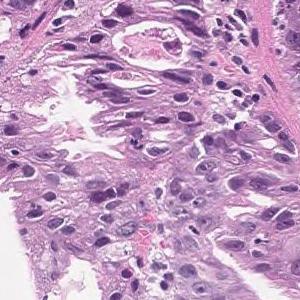
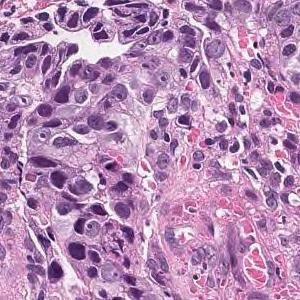
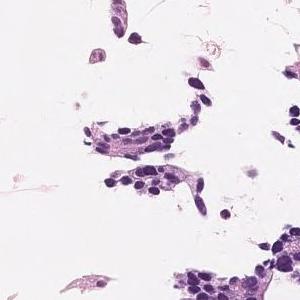
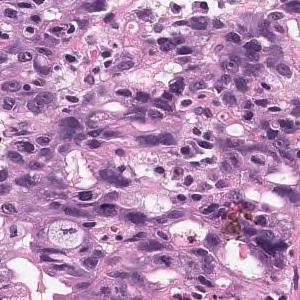
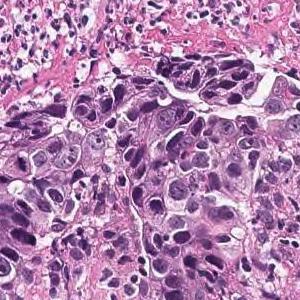
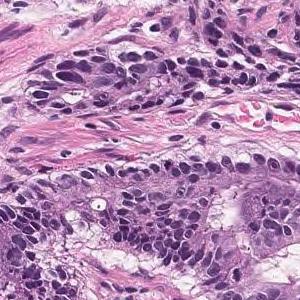
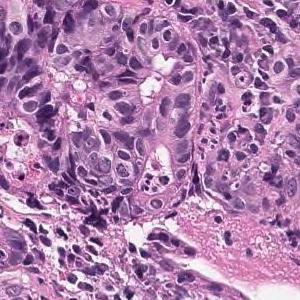
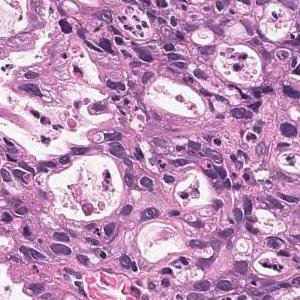
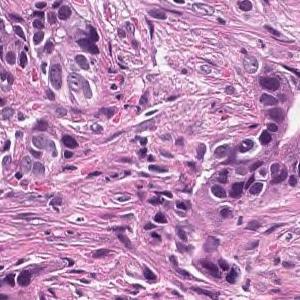
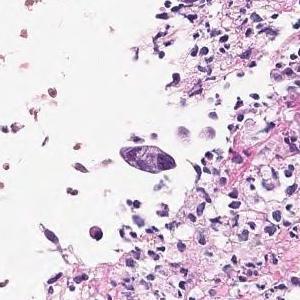
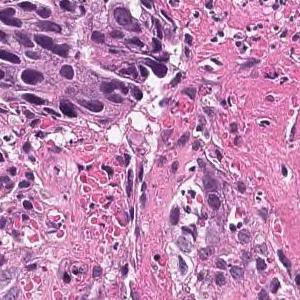
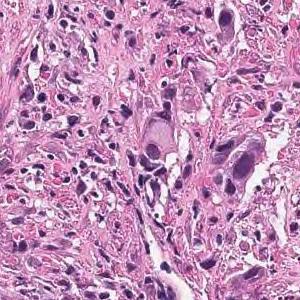
×20, 12 tiles from the same stomach biopsy slide, 300 × 300 pixels each.
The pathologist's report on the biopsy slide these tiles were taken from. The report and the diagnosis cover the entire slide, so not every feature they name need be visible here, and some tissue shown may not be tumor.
Tumor cells are large, highly columnar, large club-shaped nuclei, and are associated with chromatin aggregation. Papillary adenocarcinoma.
